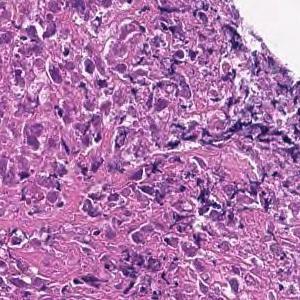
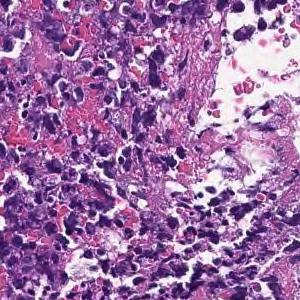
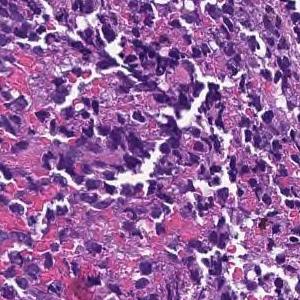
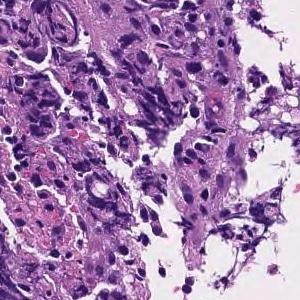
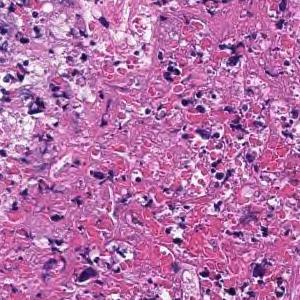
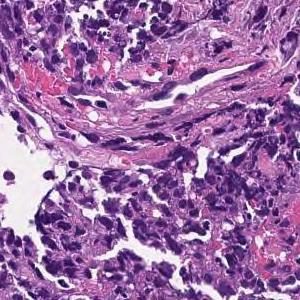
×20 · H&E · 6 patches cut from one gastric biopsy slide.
Diagnostic report for the slide these tiles come from. The findings and the diagnosis refer to the entire slide; these tiles show only part of it, possibly with non-tumor tissue, and may not show every feature named.
Most are composed of coagulative necrotic tissue, but some show a large sheet-like shape, and some show tumor tissue infiltrating with a small cord-like structure. Poorly differentiated adenocarcinoma, solid-type
Histologic type: Poorly differentiated adenocarcinoma, solid type, a category of the Japanese Classification of Gastric Carcinoma; in the WHO 2019 classification it is tubular adenocarcinoma, poorly differentiated.
